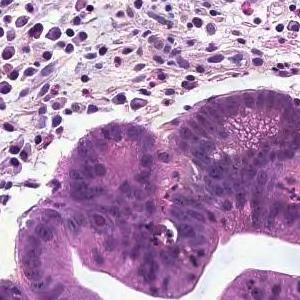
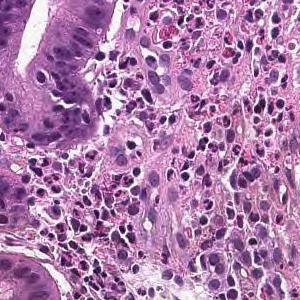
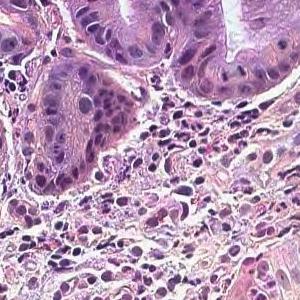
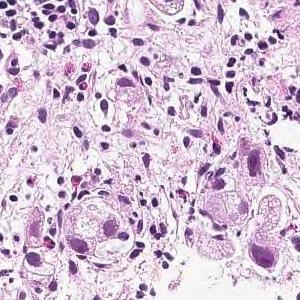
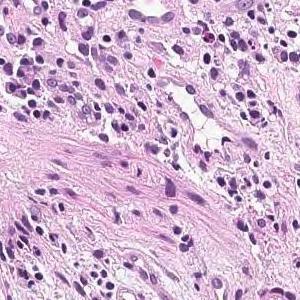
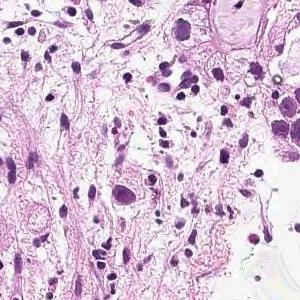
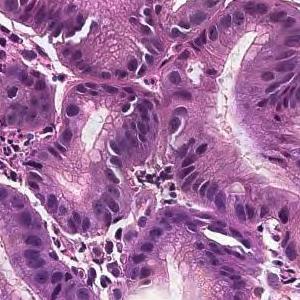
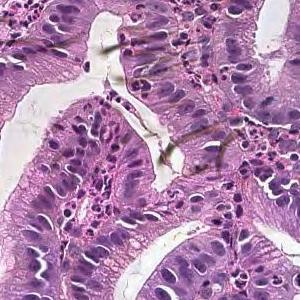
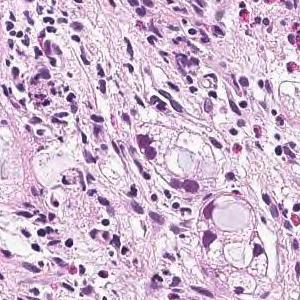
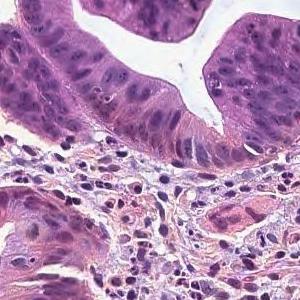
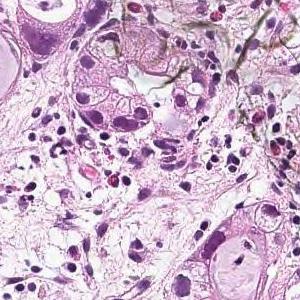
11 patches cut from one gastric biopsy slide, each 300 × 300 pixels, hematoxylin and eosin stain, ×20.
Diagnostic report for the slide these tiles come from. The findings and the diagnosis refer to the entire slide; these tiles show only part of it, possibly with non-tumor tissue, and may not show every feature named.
On the superficial epithelium, tumor tissue that infiltrates by forming medium-sized papillary or small irregular ducts is observed. Papillary adenocarcinoma
